×20, hematoxylin and eosin stain, 12 tiles from the same stomach biopsy slide.
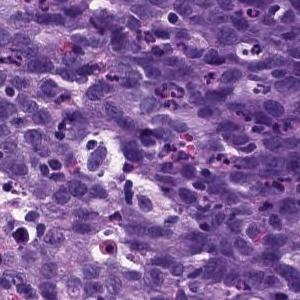
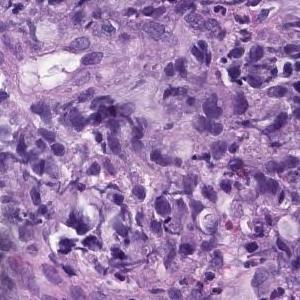
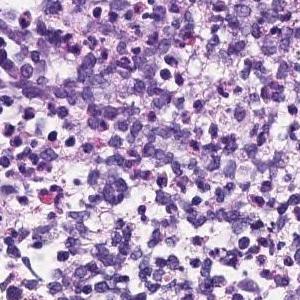
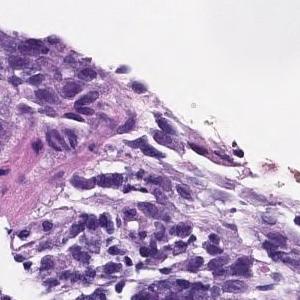
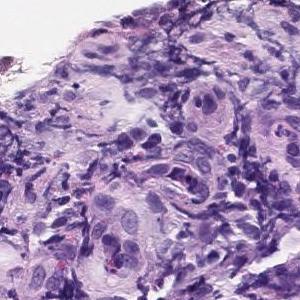
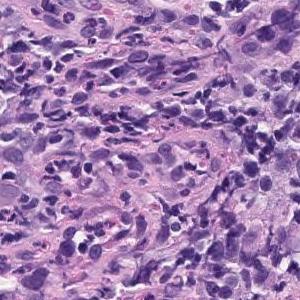
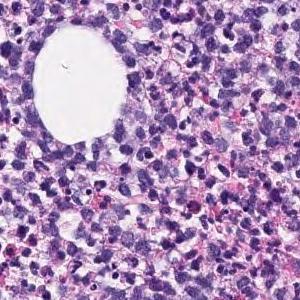
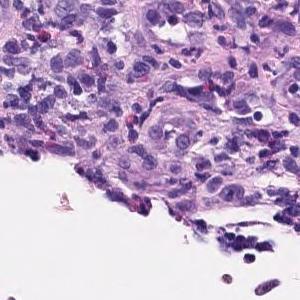
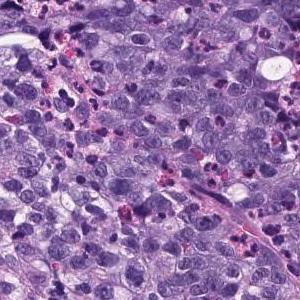
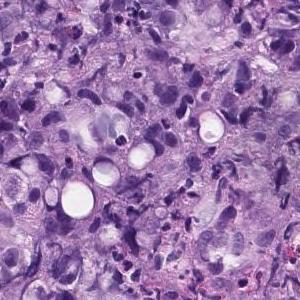
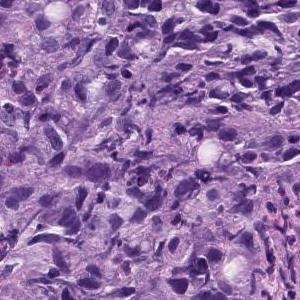
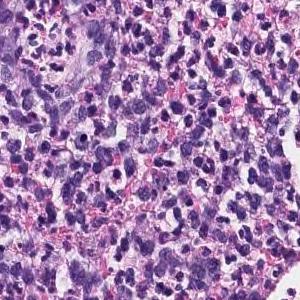
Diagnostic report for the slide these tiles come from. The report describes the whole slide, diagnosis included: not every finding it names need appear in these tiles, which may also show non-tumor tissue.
The superficial epithelium shows a large sheet-like shape, and some tumor tissue infiltrates with small irregular ducts. Poorly differentiated adenocarcinoma, solid-type
Histologic type: Poorly differentiated adenocarcinoma, solid type. This name comes from the Japanese Classification of Gastric Carcinoma; the WHO 2019 classification calls it tubular adenocarcinoma, poorly differentiated.
